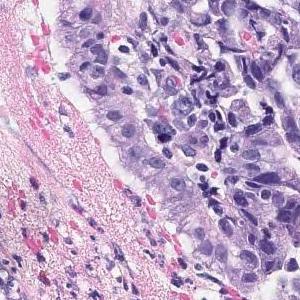
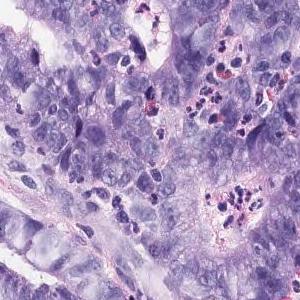
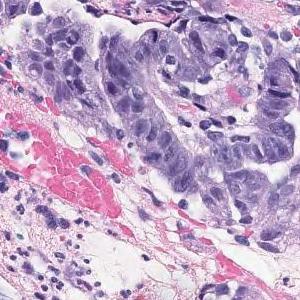
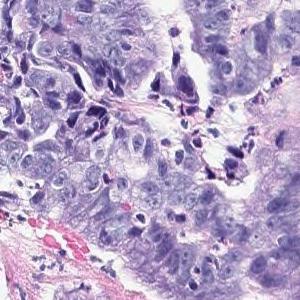
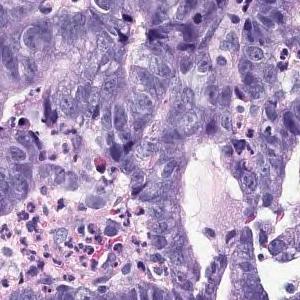
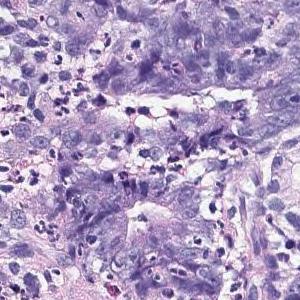
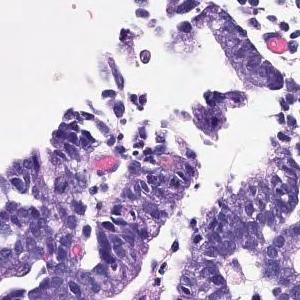
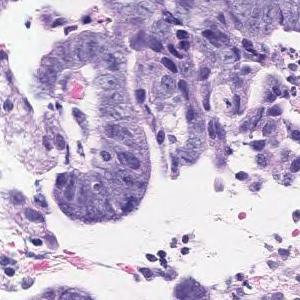
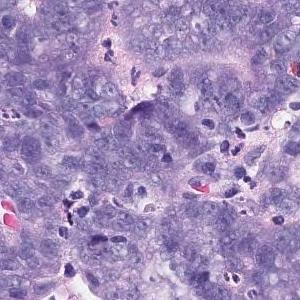
9 tiles cut from one stomach biopsy slide, 20× magnification.
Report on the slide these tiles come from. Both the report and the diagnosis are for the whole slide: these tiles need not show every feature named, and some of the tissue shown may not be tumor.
In the superficial epithelium, tumor tissue that invades by forming medium-sized to small, irregular ducts is observed. Moderately differentiated adenocarcinoma.
Subtype: Moderately differentiated tubular adenocarcinoma.
